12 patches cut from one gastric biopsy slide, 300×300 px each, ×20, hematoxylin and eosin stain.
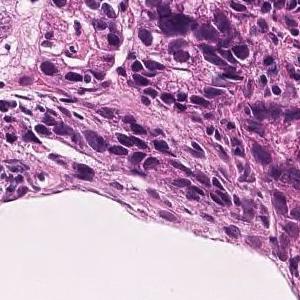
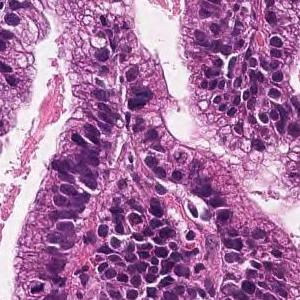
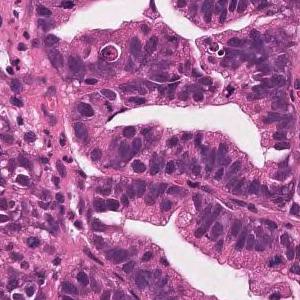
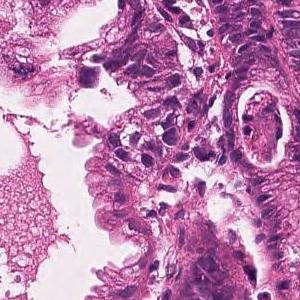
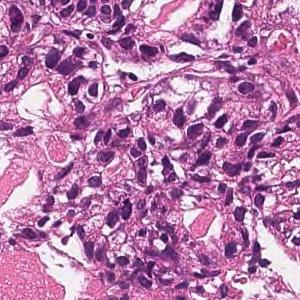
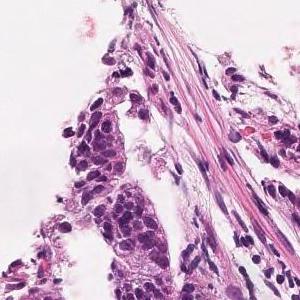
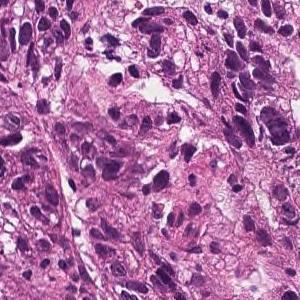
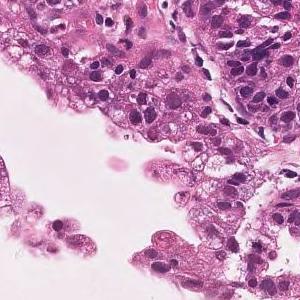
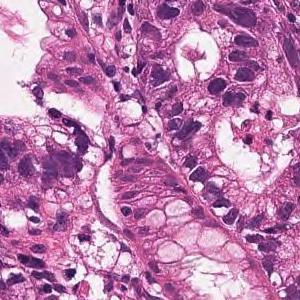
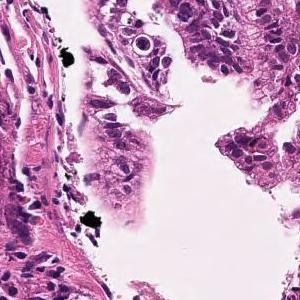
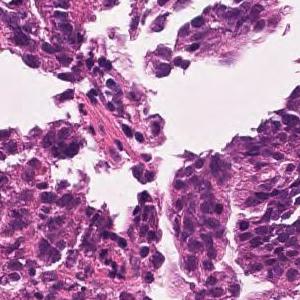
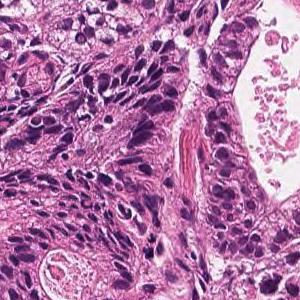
Pathology report for the slide these tiles were cut from. The report describes the whole slide, diagnosis included: not every finding it names need appear in these tiles, which may also show non-tumor tissue.
On the superficial epithelium, tumor tissue consisting of large, irregular glandular ducts partially fused and infiltrated is observed. Well to moderately differentiated tubular adenocarcinoma (well differentiated tubular adenocarcinoma, moderately differentiated tubular adenocarcinoma)
Histological subtype: Well to moderately differentiated tubular adenocarcinoma.
